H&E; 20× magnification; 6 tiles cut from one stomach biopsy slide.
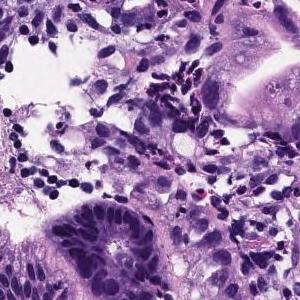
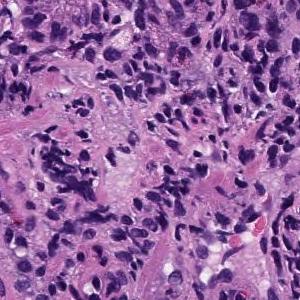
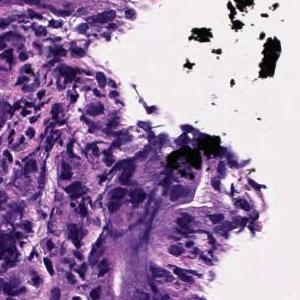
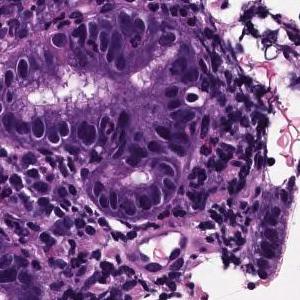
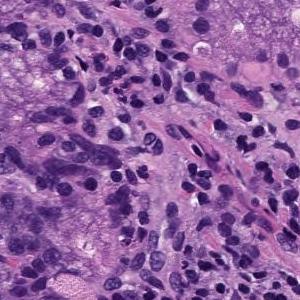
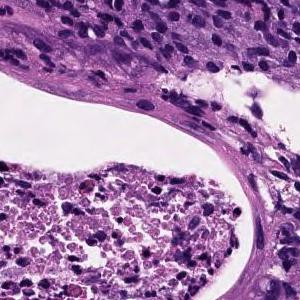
Report on the slide these tiles come from. The report and the diagnosis describe the slide as a whole, so these tiles may not show every feature named and may include non-tumor tissue.
Medium to small, irregular glandular ducts are formed in the superficial epithelium, and in some cases, the glandular ducts are fused to show solid alveolar lesions and infiltrating tumor tissue is observed. Moderately to poorly differentiated adenocarcinoma.
